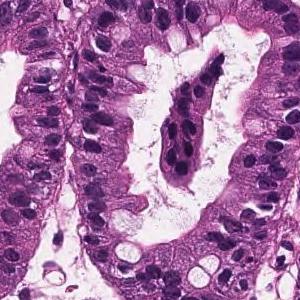
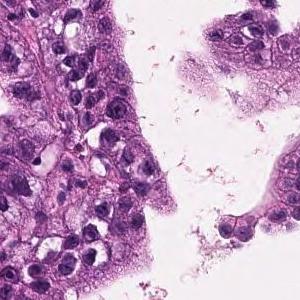
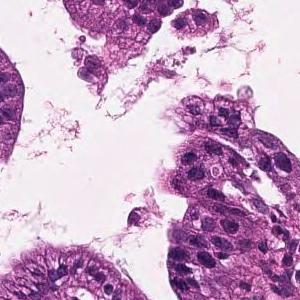
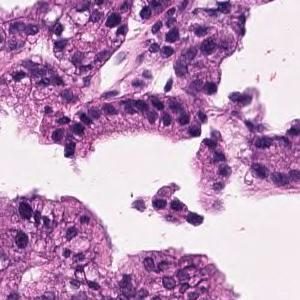
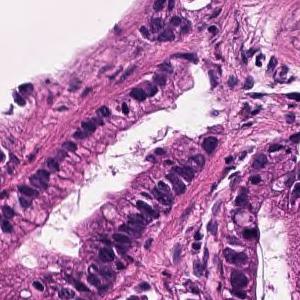
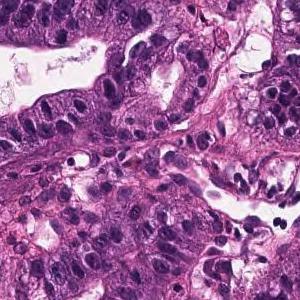
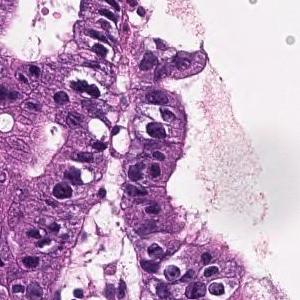
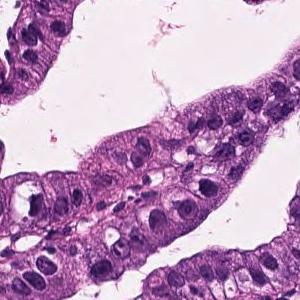
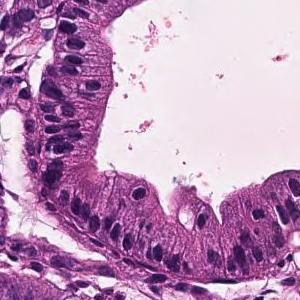
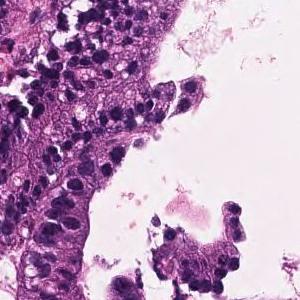
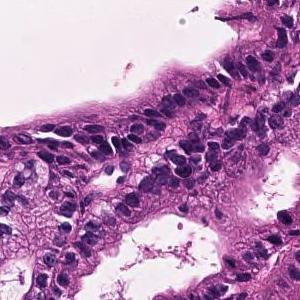
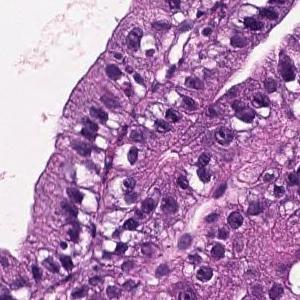
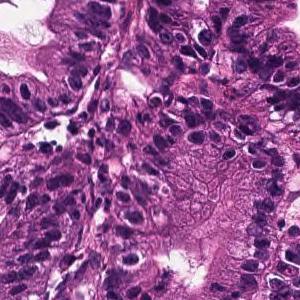
13 patches cut from one gastric biopsy slide · scanned at ×20 · H&E.
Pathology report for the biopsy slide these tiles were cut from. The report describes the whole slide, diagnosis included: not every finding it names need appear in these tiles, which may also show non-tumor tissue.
On the superficial epithelium, tumor tissue that infiltrates by forming medium-sized papillary or small irregular ducts is observed. Papillary adenocarcinoma
